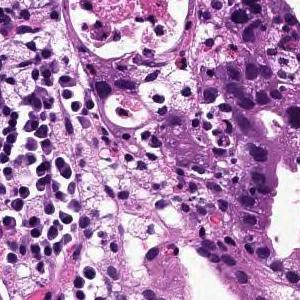
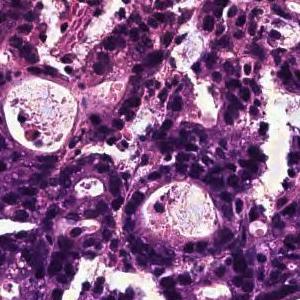
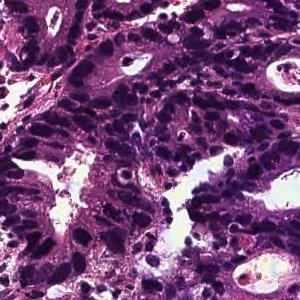
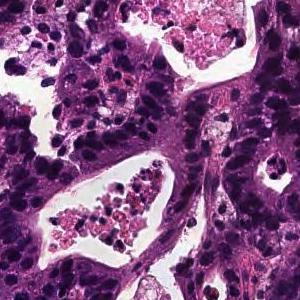
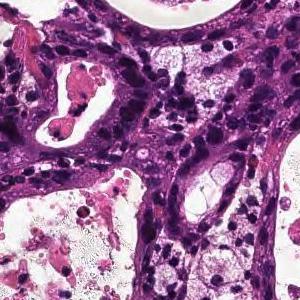
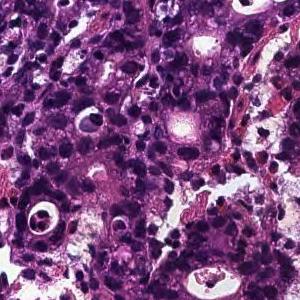
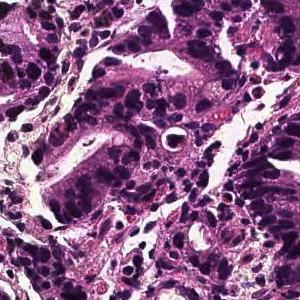
Hematoxylin and eosin stain, 7 image tiles from a single gastric biopsy slide.
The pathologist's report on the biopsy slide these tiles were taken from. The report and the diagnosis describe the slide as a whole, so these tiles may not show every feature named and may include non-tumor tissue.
In the superficial epithelium, tumor tissue that invades by forming medium-sized to small, irregular ducts is observed. moderately differentiated tubular adenocarcinoma.
